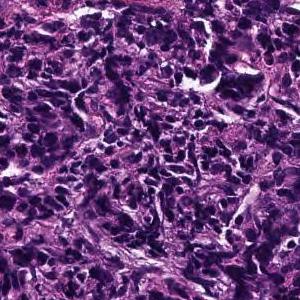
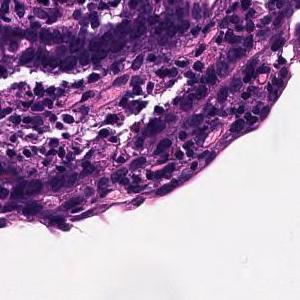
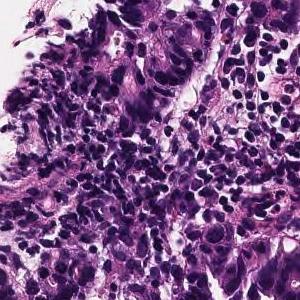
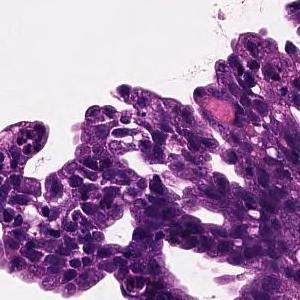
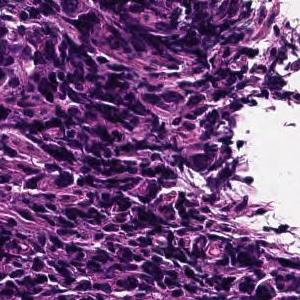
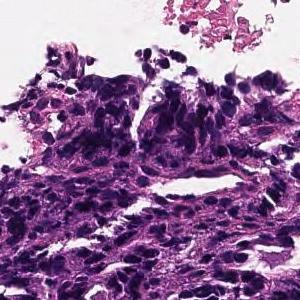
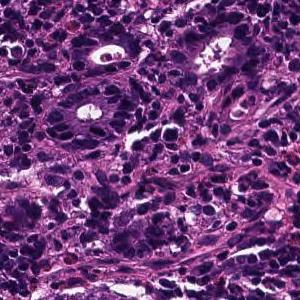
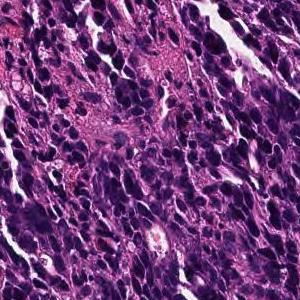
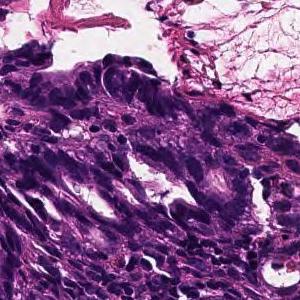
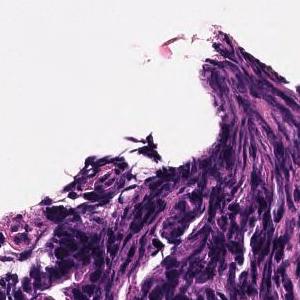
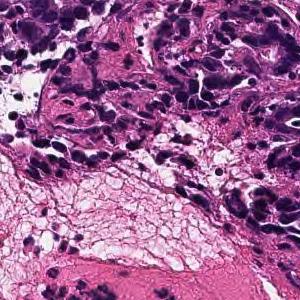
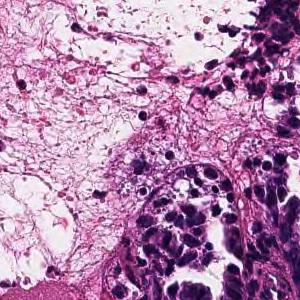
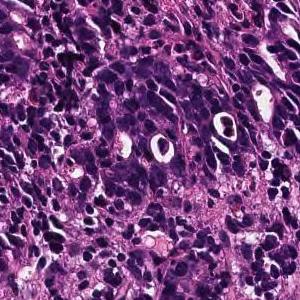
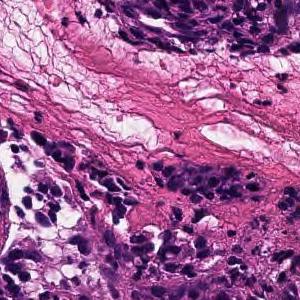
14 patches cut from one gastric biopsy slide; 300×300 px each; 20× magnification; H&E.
Diagnostic report for the slide these tiles come from. What the report and the diagnosis say applies to the whole slide; these tiles may miss some of the features named and may include tissue that is not tumor.
On the superficial epithelium, tumor tissue is found in which medium-sized irregular gland ducts fuse with each other and infiltrate. moderately differentiated tubular adenocarcinoma or Poorly differentiated adenocarcinoma, non-solid type
Subtype: Moderately to poorly differentiated adenocarcinoma.
The non-solid type named here is a Japanese Classification of Gastric Carcinoma category.
